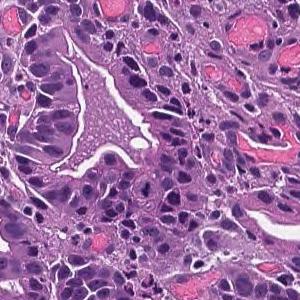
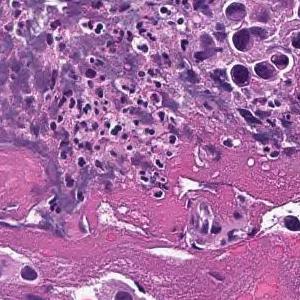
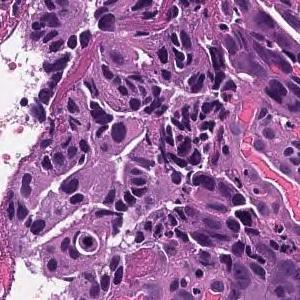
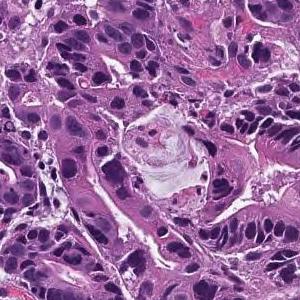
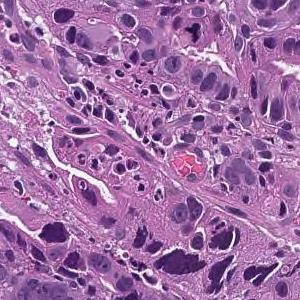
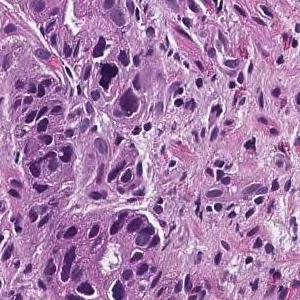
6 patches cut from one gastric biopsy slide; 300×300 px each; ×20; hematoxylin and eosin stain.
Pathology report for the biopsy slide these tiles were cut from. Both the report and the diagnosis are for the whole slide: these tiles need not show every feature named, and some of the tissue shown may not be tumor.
In the superficial epithelium, tumor tissue that invades by forming medium-sized to small, irregular ducts is observed. moderately differentiated tubular adenocarcinoma.
